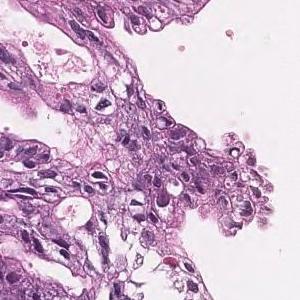
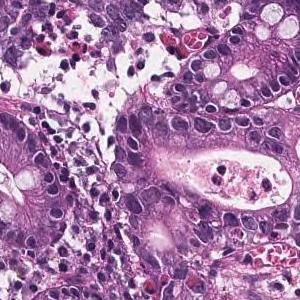
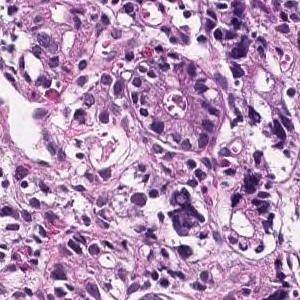
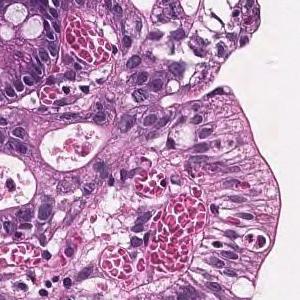
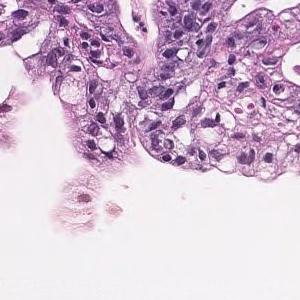
5 patches cut from one gastric biopsy slide; 300×300 px each; H&E.
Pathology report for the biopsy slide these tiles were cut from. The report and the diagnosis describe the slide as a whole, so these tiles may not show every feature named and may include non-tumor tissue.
In the superficial epithelium, tumor tissue that invades by forming medium-sized to small, irregular ducts is observed. Moderately differentiated adenocarcinoma.
Subtype: Moderately differentiated tubular adenocarcinoma.
